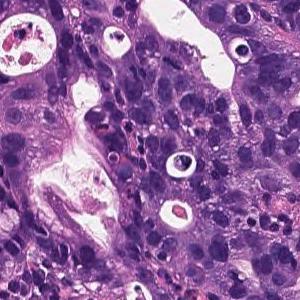
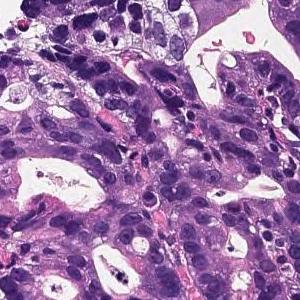
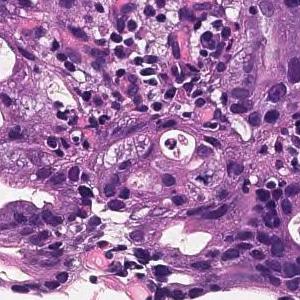
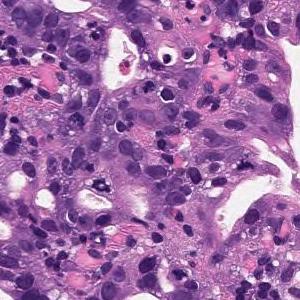
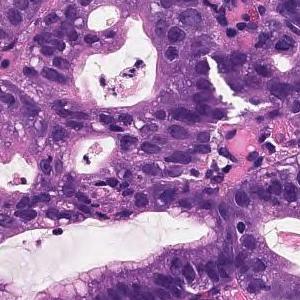
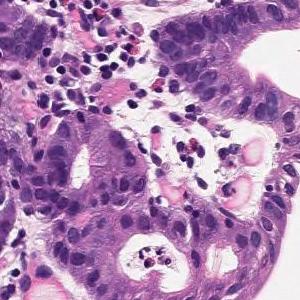
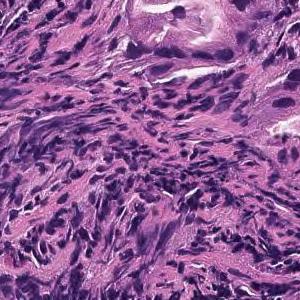
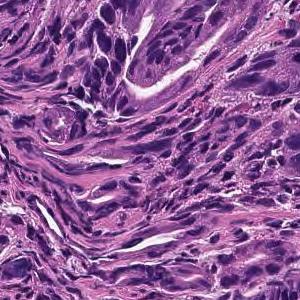
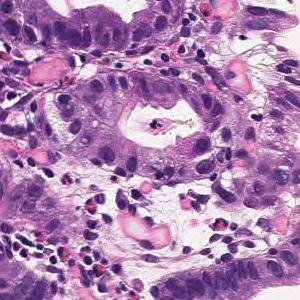
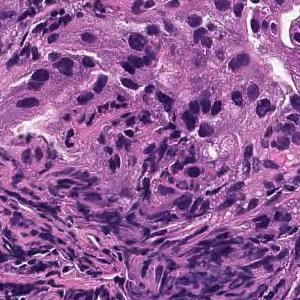
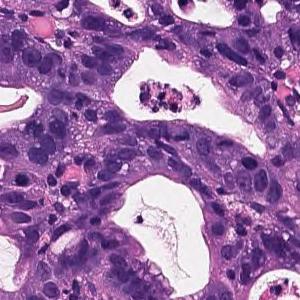
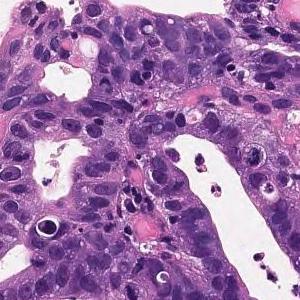
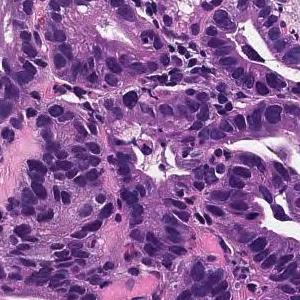
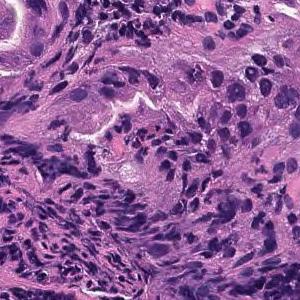
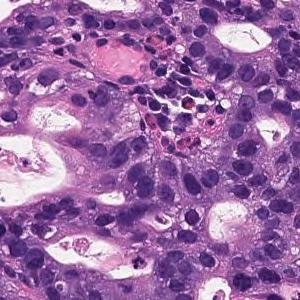
Scanned at ×20 · hematoxylin and eosin stain · 15 patches cut from one gastric biopsy slide · 300×300 px each.
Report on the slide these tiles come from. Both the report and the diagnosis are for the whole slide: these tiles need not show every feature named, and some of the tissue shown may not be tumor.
On the superficial epithelium, tumor tissue consisting of large, irregular glandular ducts partially fused and infiltrated is observed. Well to moderately differentiated tubular adenocarcinoma (well differentiated tubular adenocarcinoma, moderately differentiated tubular adenocarcinoma)
Classified as well to moderately differentiated tubular adenocarcinoma.
